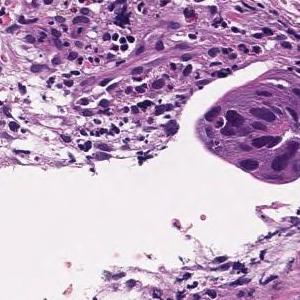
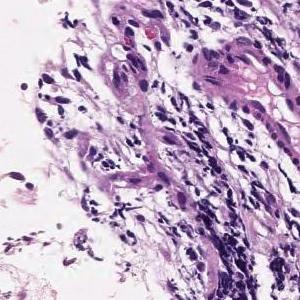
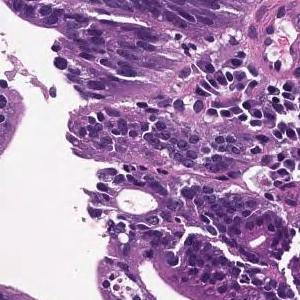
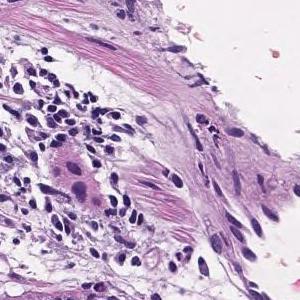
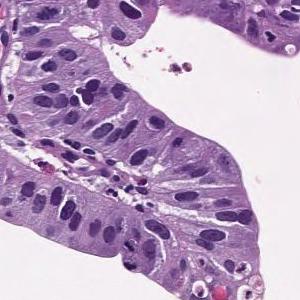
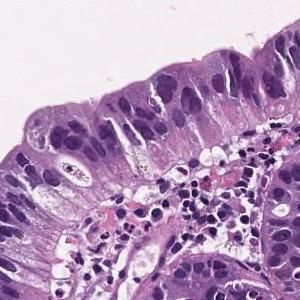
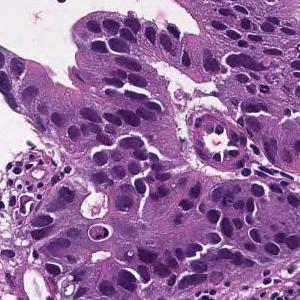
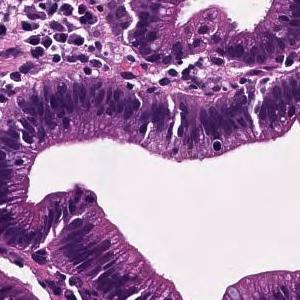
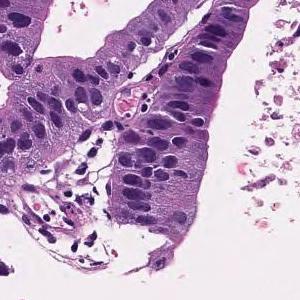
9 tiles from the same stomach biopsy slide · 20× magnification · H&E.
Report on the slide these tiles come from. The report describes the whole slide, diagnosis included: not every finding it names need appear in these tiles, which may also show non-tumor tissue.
Tumor cells are large, highly columnar, large club-shaped nuclei, and are associated with chromatin aggregation. Papillary adenocarcinoma.
